H&E · 9 patches cut from one gastric biopsy slide · each 300 × 300 pixels.
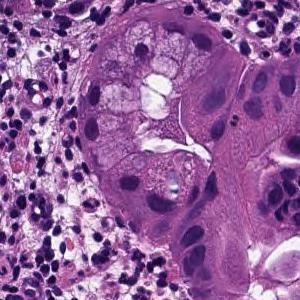
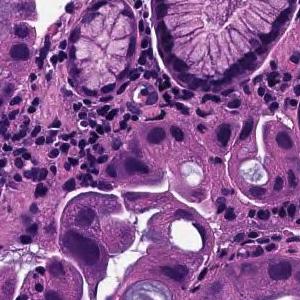
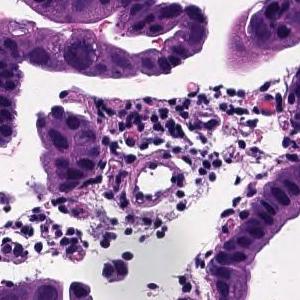
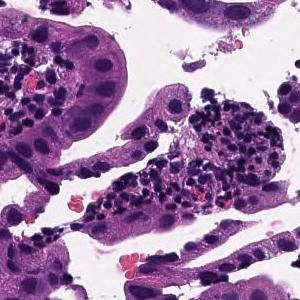
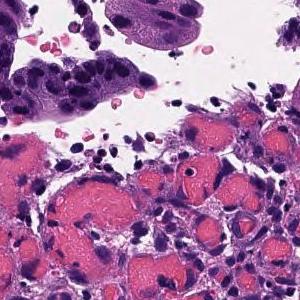
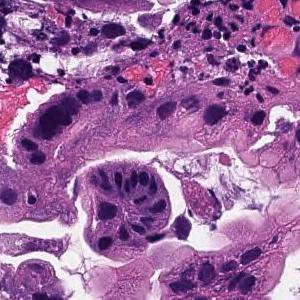
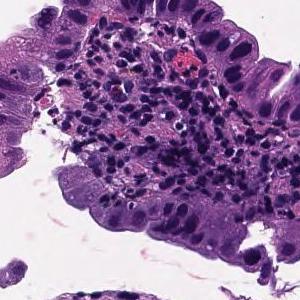
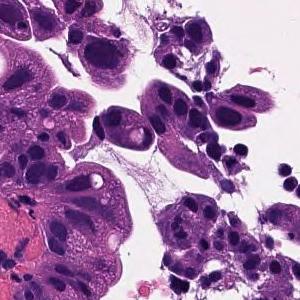
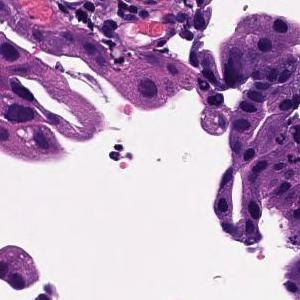
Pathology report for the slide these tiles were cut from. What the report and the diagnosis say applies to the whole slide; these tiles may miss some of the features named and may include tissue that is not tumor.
Tumor tissue consisting of large papillary structures is found in the superficial epithelium. Papillary adenocarcinoma.
